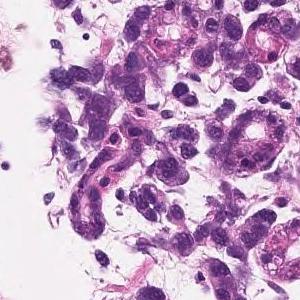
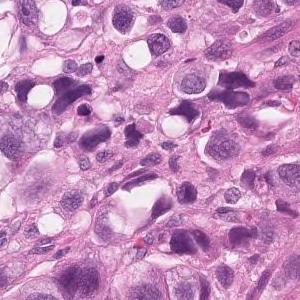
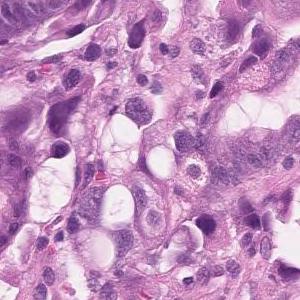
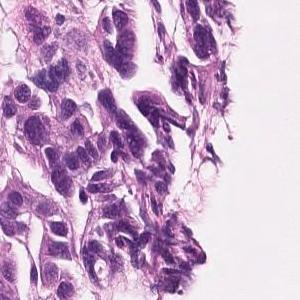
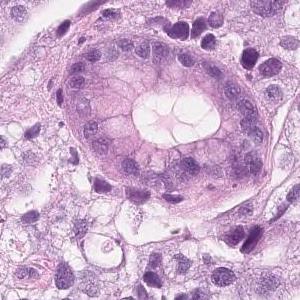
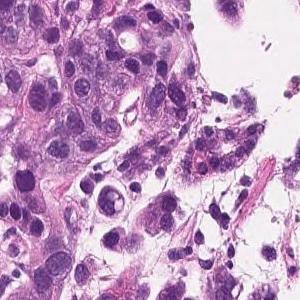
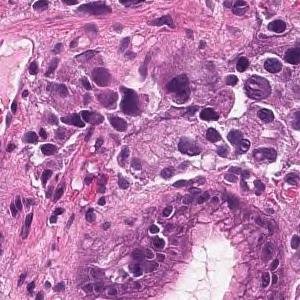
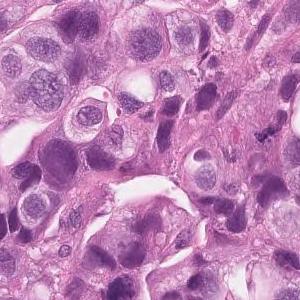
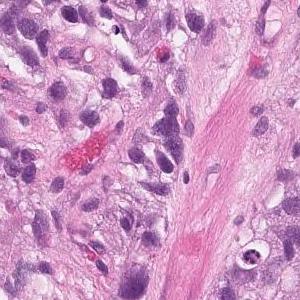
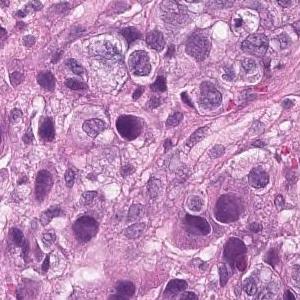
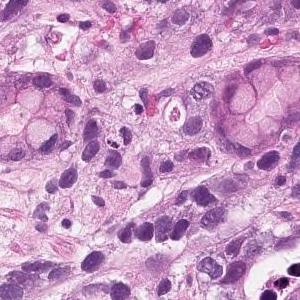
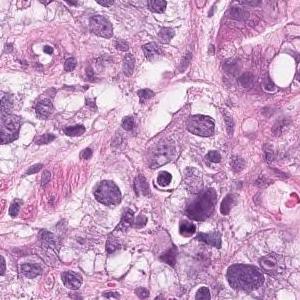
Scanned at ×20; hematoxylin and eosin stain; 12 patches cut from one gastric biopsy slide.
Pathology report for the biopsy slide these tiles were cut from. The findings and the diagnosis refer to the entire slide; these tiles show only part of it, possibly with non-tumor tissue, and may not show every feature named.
Tumor tissue that infiltrates the epithelium in an alveolar manner. Poorly differentiated adenocarcinoma, solid-type
Histologic type: Poorly differentiated adenocarcinoma, solid type (Japanese Classification of Gastric Carcinoma). The WHO 2019 equivalent is tubular adenocarcinoma, poorly differentiated.
